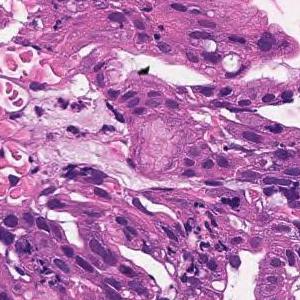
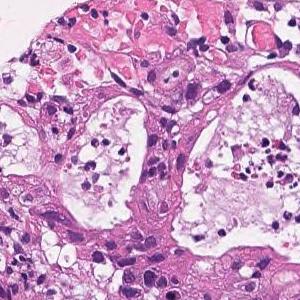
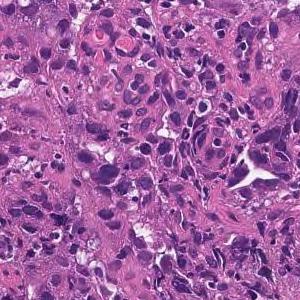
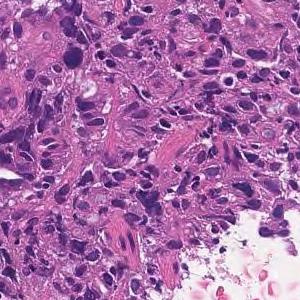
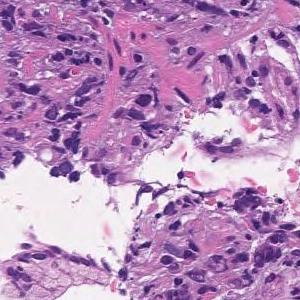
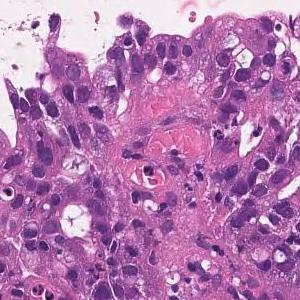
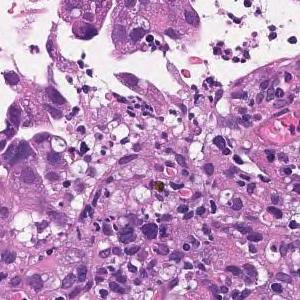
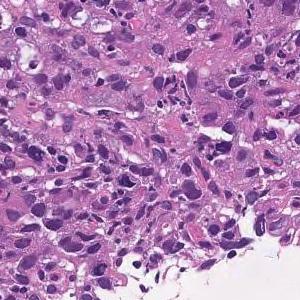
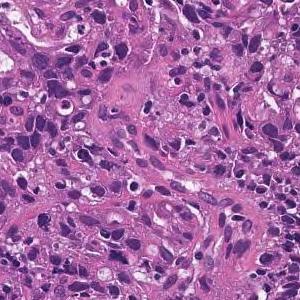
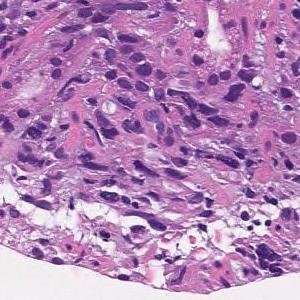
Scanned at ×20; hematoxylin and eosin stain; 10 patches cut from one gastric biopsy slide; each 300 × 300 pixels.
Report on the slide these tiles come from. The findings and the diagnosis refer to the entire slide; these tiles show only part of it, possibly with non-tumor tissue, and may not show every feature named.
In the superficial epithelium, tumor tissue that invades by forming medium-sized to small, irregular ducts is observed. moderately differentiated tubular adenocarcinoma.
